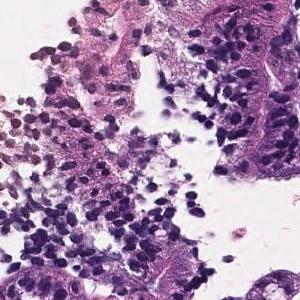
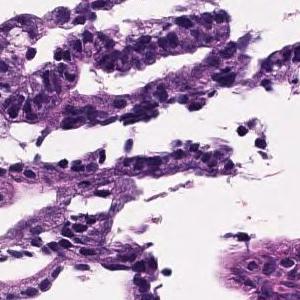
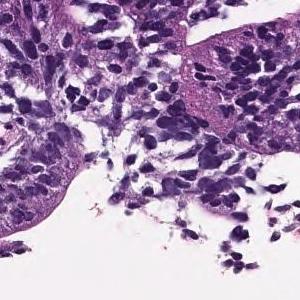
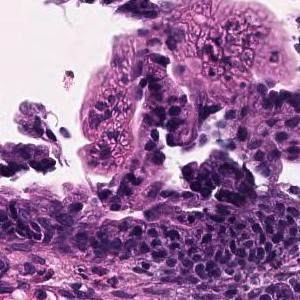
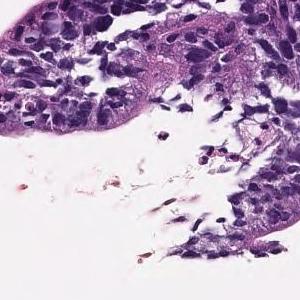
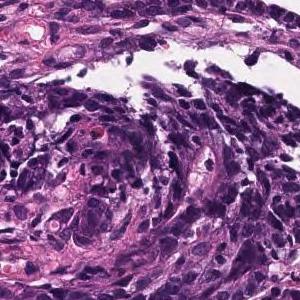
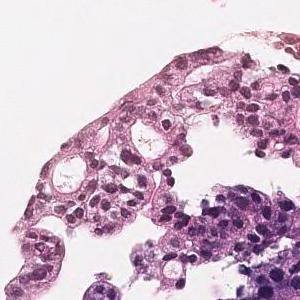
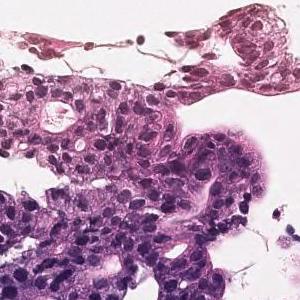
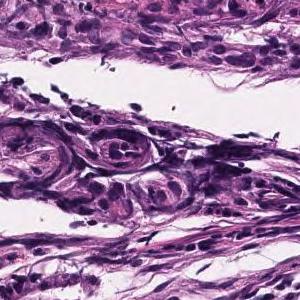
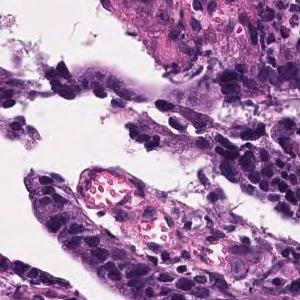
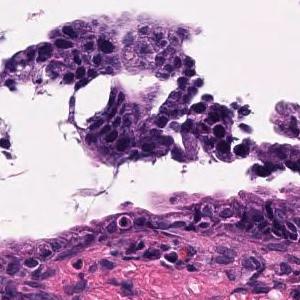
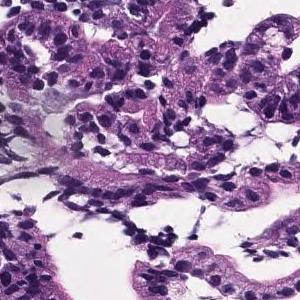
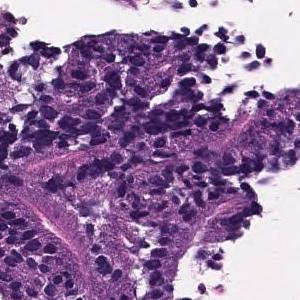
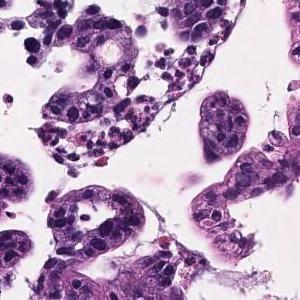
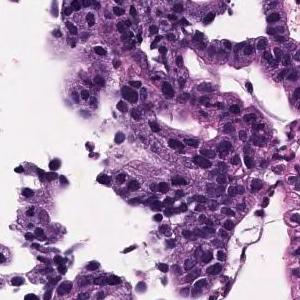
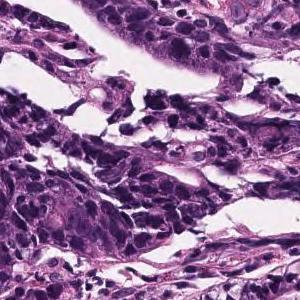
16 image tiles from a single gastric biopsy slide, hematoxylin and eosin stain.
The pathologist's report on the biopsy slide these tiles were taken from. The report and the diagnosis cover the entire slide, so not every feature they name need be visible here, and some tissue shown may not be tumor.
The outermost layer of the gastric mucosa shows an irregular bridging pattern and atypical epithelium that proliferates in a papillary manner. moderately differentiated tubular adenocarcinoma, Papillary adenocarcinoma
The dataset labels this slide moderately differentiated tubular adenocarcinoma.
